16 image tiles from a single gastric biopsy slide; 300 × 300 pixels each; H&E stain; scanned at ×20.
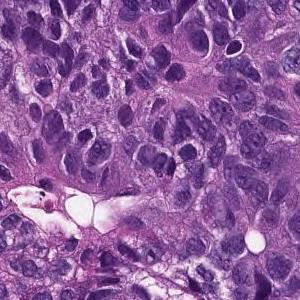
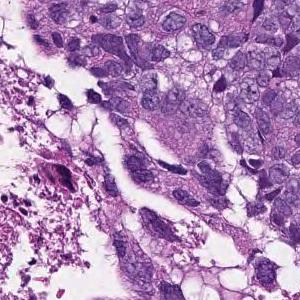
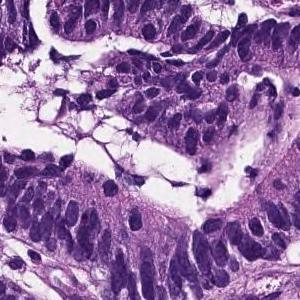
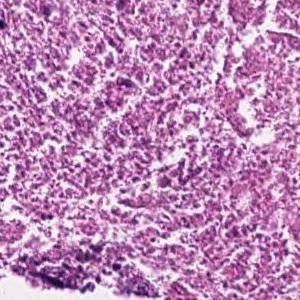
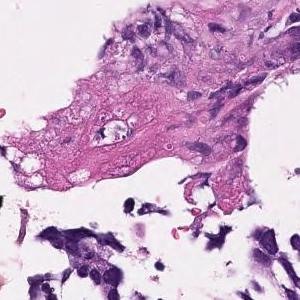
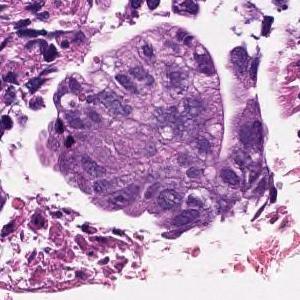
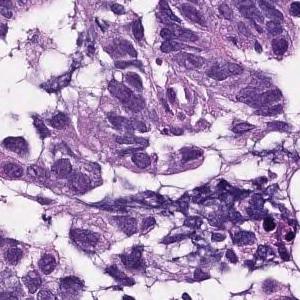
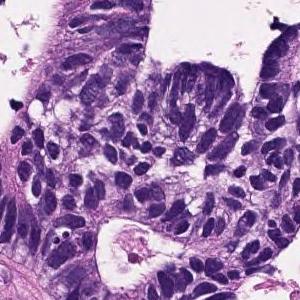
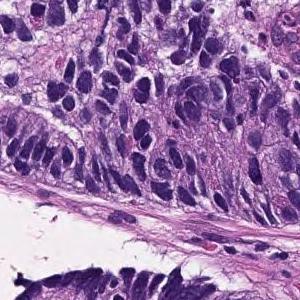
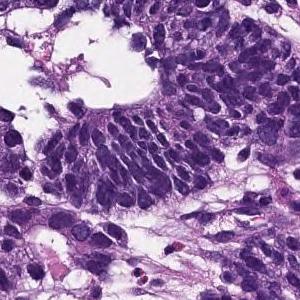
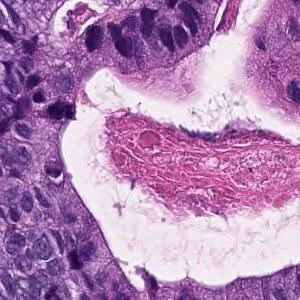
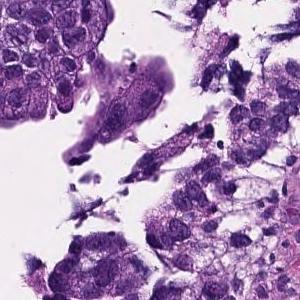
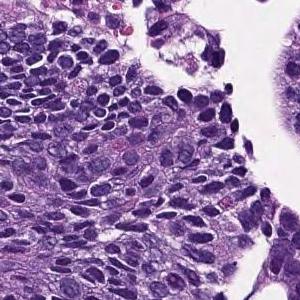
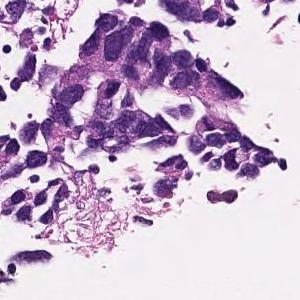
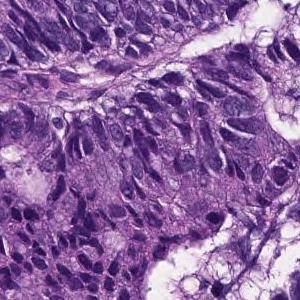
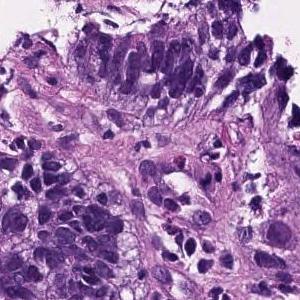
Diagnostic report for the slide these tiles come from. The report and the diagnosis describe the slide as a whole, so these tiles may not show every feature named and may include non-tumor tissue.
In the superficial epithelium, tumor tissue that invades by forming medium-sized to small, irregular ducts is observed. moderately differentiated tubular adenocarcinoma.
